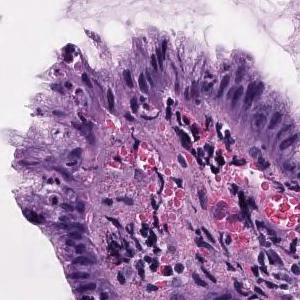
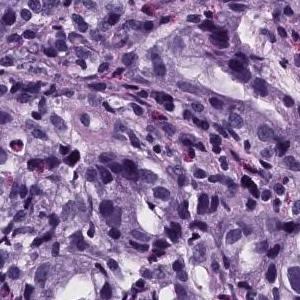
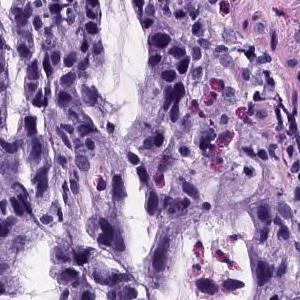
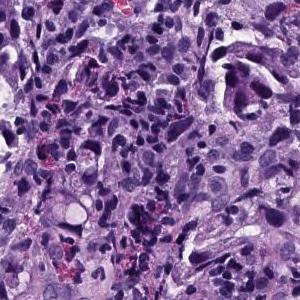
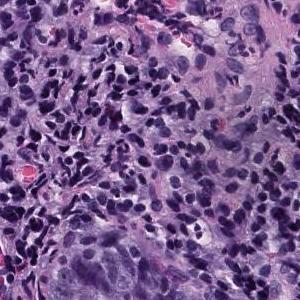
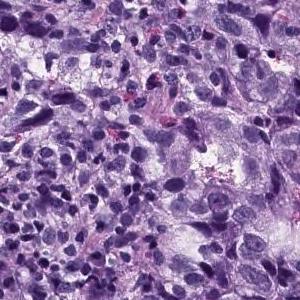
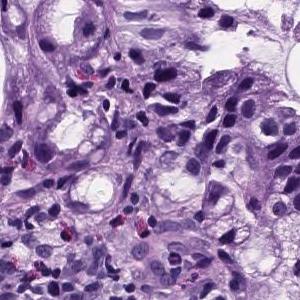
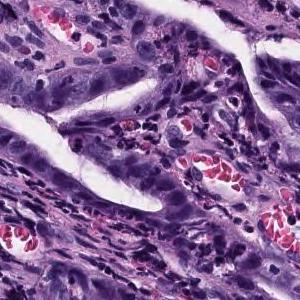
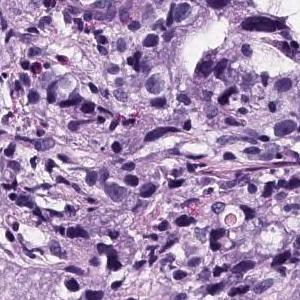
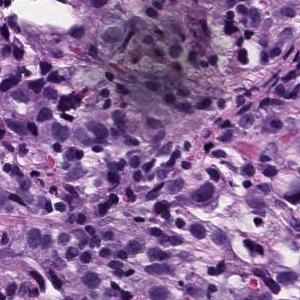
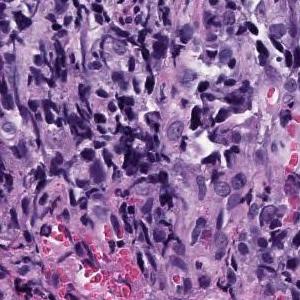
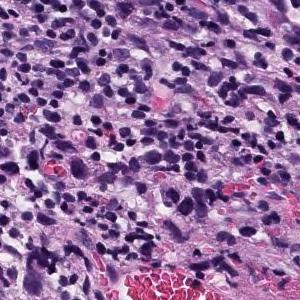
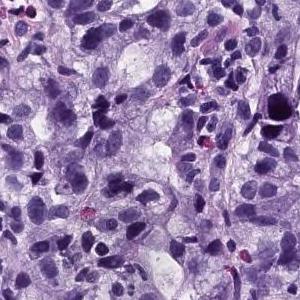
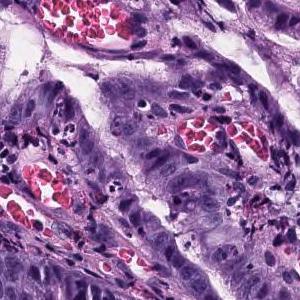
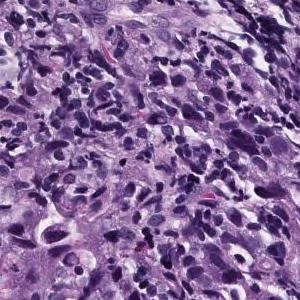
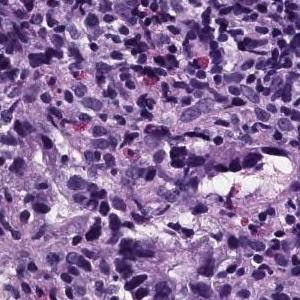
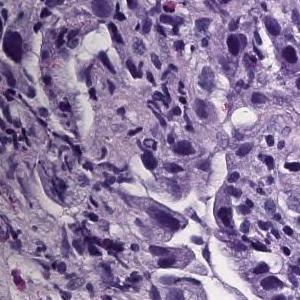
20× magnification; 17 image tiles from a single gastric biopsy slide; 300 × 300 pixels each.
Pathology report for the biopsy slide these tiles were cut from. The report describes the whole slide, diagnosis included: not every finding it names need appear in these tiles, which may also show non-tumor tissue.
Atypical epithelial cells infiltrating and proliferating while forming solid or cord-like fused glandular cavities of different sizes is observed. moderately differentiated tubular adenocarcinoma, poorly differentiated adenocarcinoma.
Classified as moderately to poorly differentiated adenocarcinoma.
